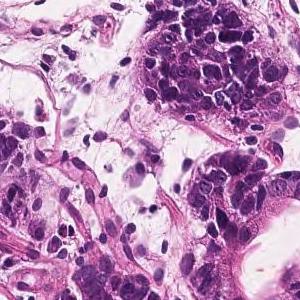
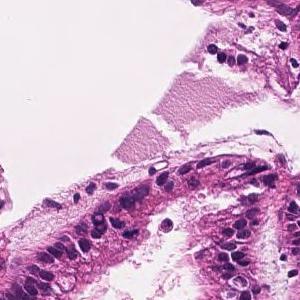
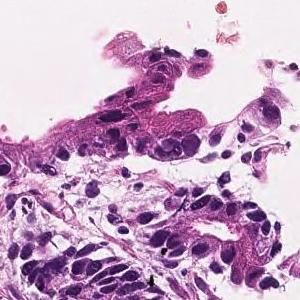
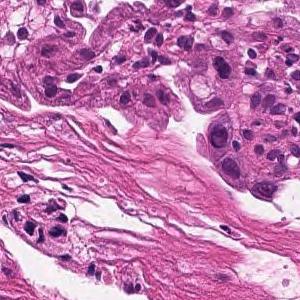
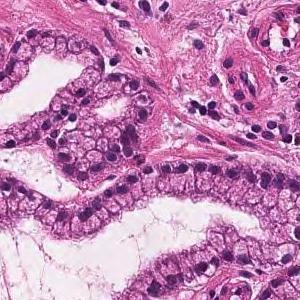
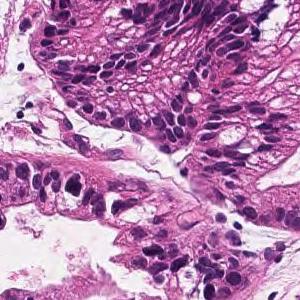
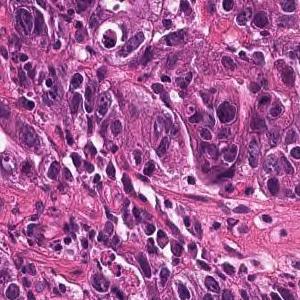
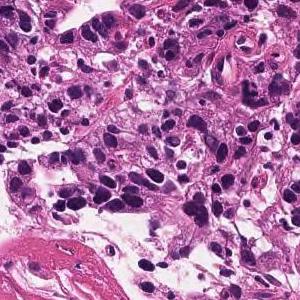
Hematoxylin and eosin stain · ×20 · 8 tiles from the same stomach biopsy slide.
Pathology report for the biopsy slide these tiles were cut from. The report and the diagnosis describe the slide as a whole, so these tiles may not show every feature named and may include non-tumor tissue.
In the superficial epithelium, tumor tissue that invades by forming medium-sized to small, irregular ducts is observed. moderately differentiated tubular adenocarcinoma.
